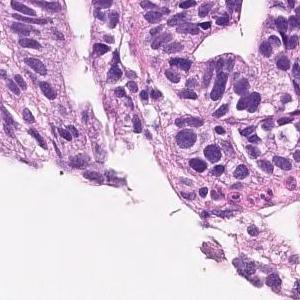
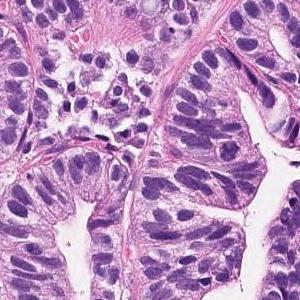
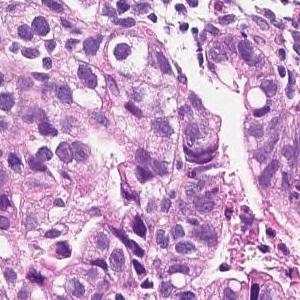
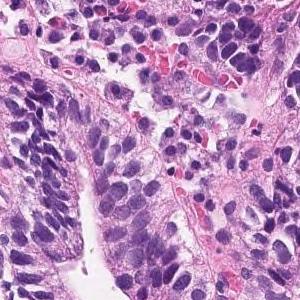
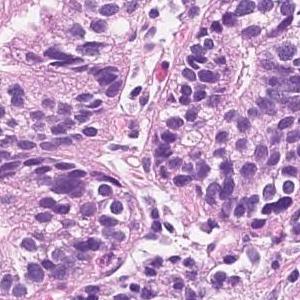
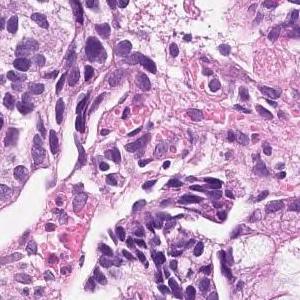
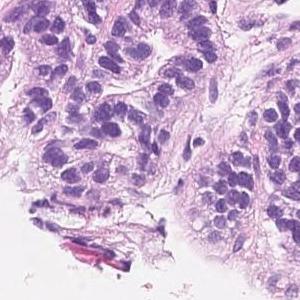
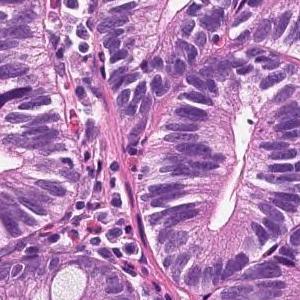
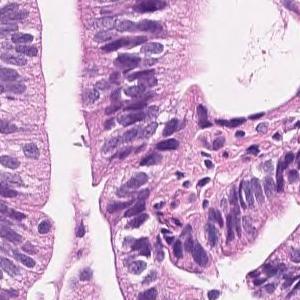
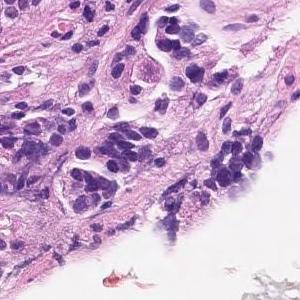
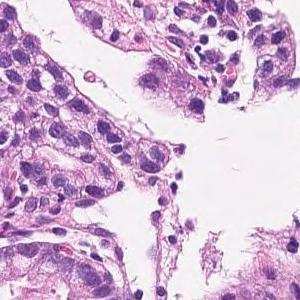
H&E stain, scanned at ×20, 11 tiles cut from one stomach biopsy slide, each 300 × 300 pixels.
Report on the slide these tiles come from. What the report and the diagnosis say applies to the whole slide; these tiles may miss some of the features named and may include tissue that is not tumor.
On the superficial epithelium, there is a tumor tissue consisting of medium to small, irregular tubules that are partially fused and proliferated. Well to moderately differentiated tubular adenocarcinoma
